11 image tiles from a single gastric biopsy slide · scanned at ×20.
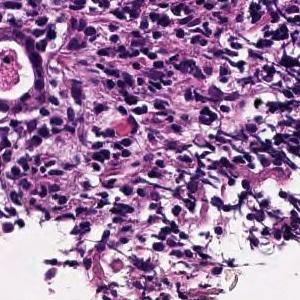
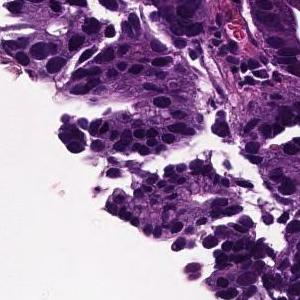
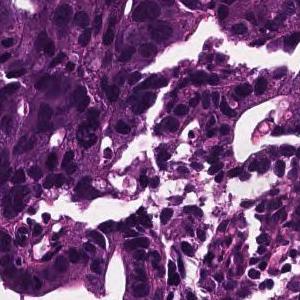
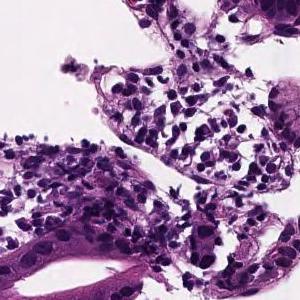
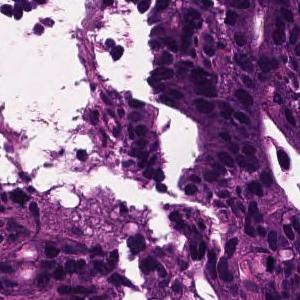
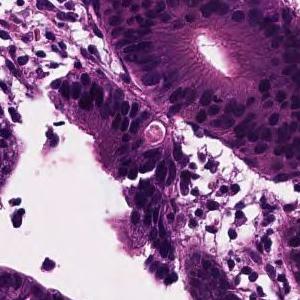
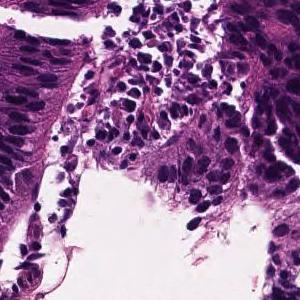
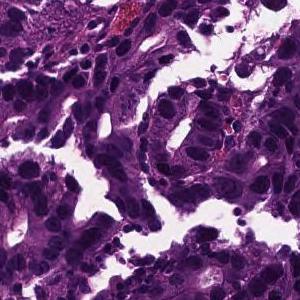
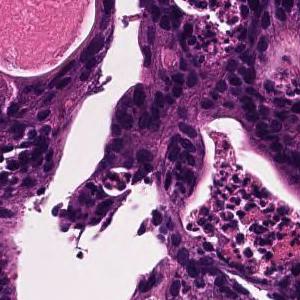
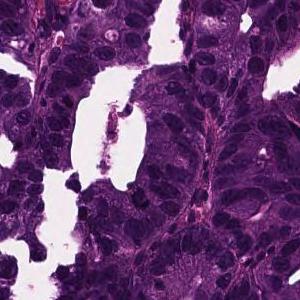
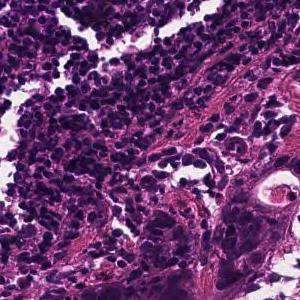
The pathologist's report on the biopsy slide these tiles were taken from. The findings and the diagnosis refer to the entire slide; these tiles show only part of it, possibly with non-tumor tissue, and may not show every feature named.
In the superficial epithelium, tumor tissue that invades by forming medium-sized to small, irregular ducts is observed. moderately differentiated tubular adenocarcinoma.
